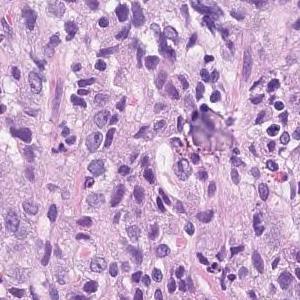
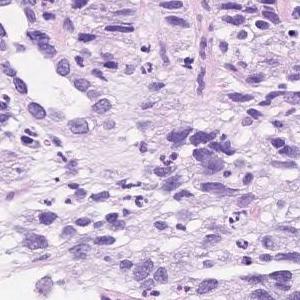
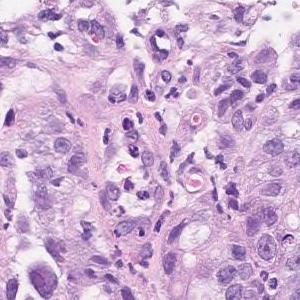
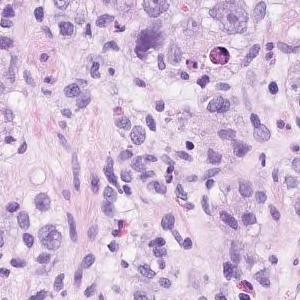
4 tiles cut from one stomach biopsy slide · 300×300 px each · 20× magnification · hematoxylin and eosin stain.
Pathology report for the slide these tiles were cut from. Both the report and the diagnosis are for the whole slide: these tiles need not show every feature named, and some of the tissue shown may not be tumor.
In the superficial epithelium, tumor tissue that invades by forming medium-sized to small, irregular ducts is observed. Moderately to poorly differentiated adenocarcinoma
